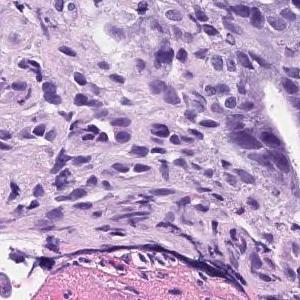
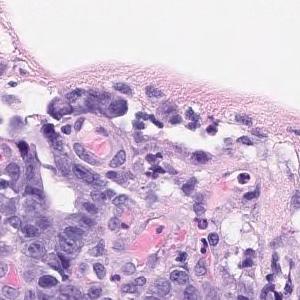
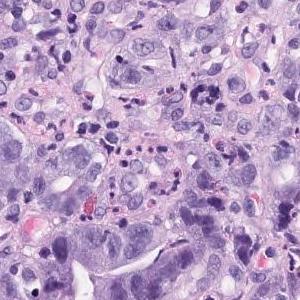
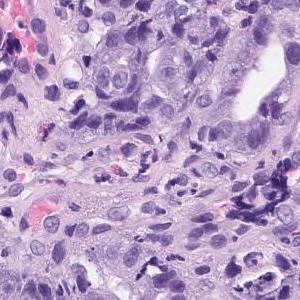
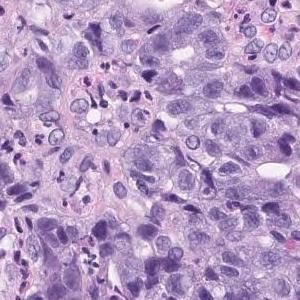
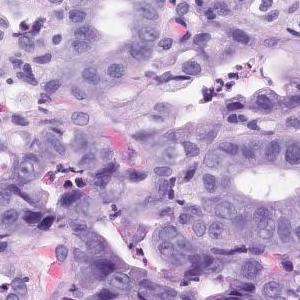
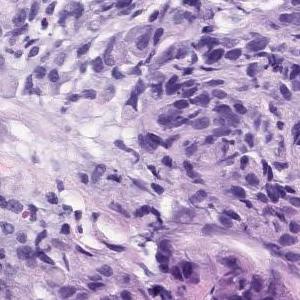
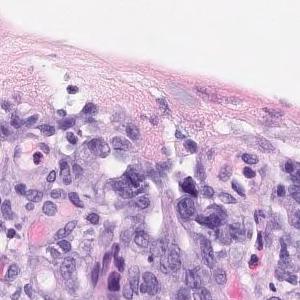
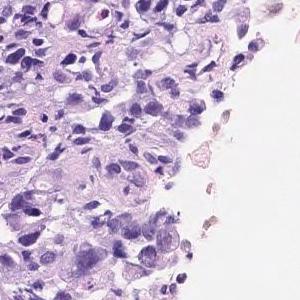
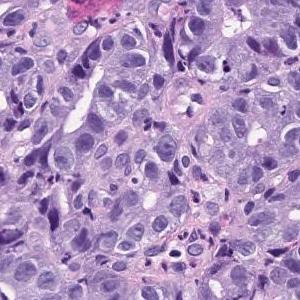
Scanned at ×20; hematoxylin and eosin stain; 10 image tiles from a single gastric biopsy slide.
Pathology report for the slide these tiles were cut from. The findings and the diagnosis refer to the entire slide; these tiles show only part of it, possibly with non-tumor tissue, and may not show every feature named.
In the superficial epithelium, tumor tissue that invades by forming medium-sized to small, irregular ducts is observed. Moderately differentiated adenocarcinoma.
Classified as moderately differentiated tubular adenocarcinoma.
